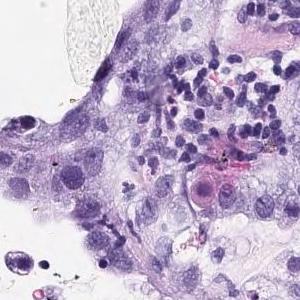
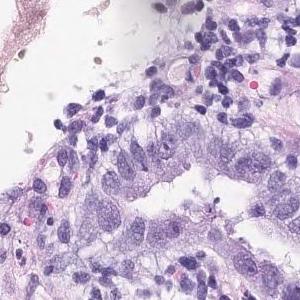
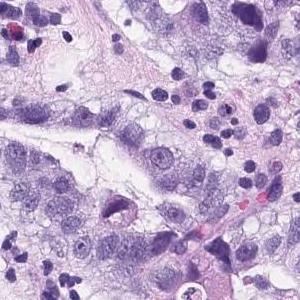
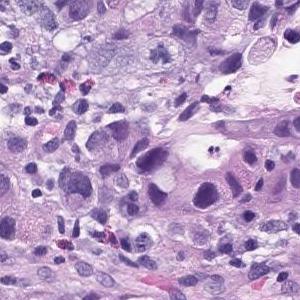
4 image tiles from a single gastric biopsy slide; each 300 × 300 pixels.
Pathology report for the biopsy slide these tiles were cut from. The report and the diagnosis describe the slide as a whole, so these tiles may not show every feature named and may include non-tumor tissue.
In the superficial epithelium, tumor tissue that invades by forming medium-sized to small, irregular ducts is observed. Moderately differentiated adenocarcinoma.
Tumor subtype: moderately differentiated tubular adenocarcinoma.
